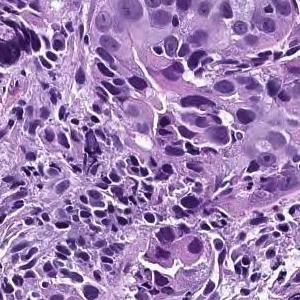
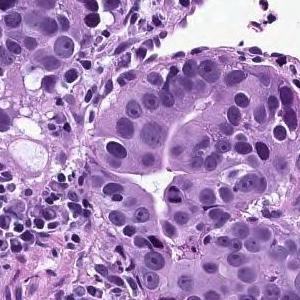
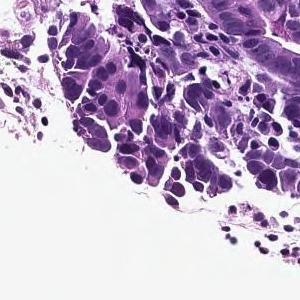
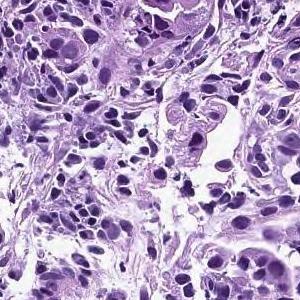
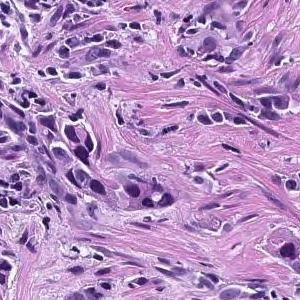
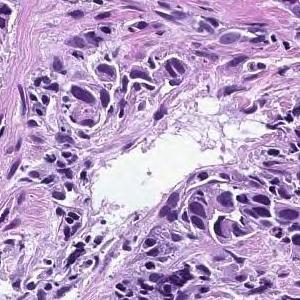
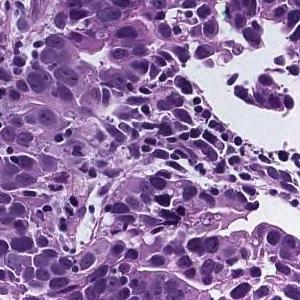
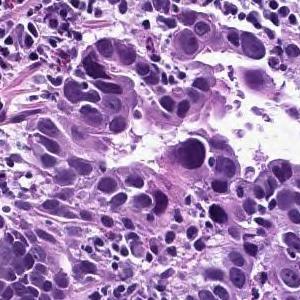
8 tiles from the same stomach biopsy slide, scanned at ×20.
Pathology report for the slide these tiles were cut from. The report describes the whole slide, diagnosis included: not every finding it names need appear in these tiles, which may also show non-tumor tissue.
In the superficial epithelium, tumor tissue that invades by forming medium-sized to small, irregular ducts is observed. moderately differentiated tubular adenocarcinoma.
